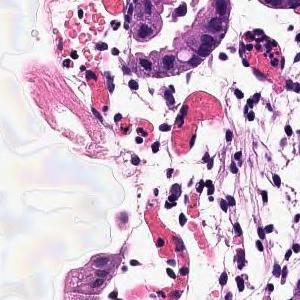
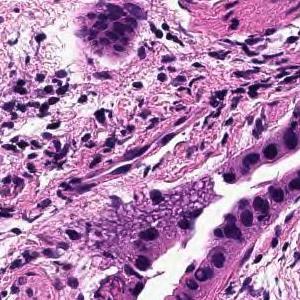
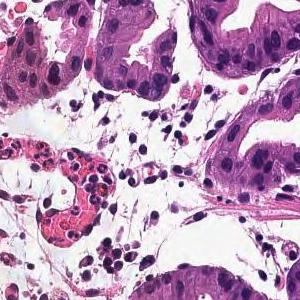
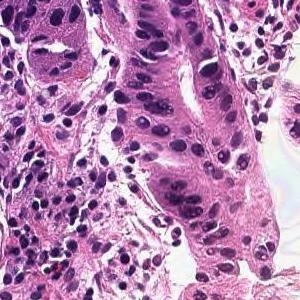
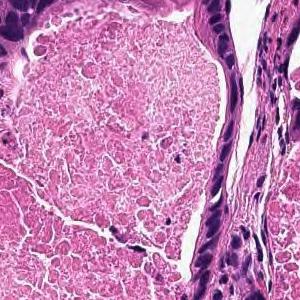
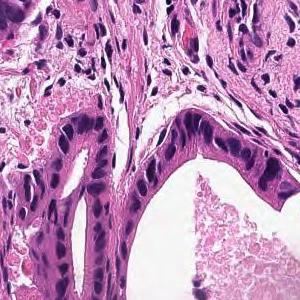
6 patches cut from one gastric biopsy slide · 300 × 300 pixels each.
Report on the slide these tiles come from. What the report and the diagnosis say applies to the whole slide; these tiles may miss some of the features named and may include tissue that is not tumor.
From the superficial epithelium to the muscularis mucosae, tumor tissue consisting of medium-sized and irregular glandular ducts infiltrating is observed. Well differentiated tubular adenocarcinoma
